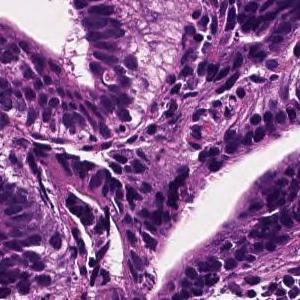
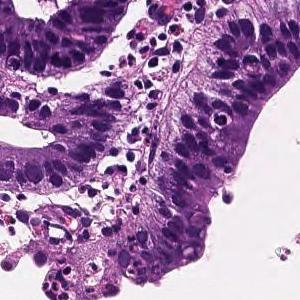
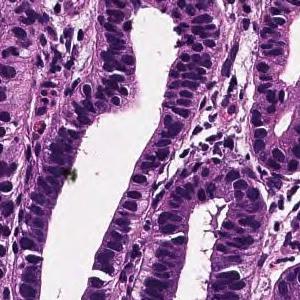
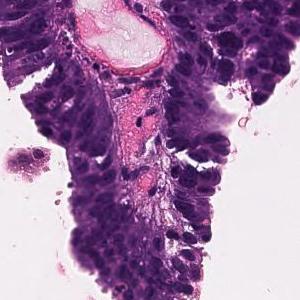
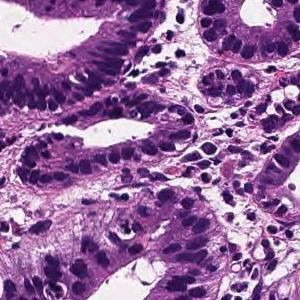
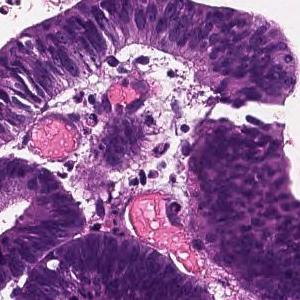
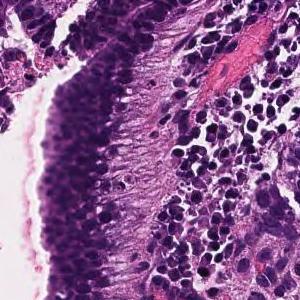
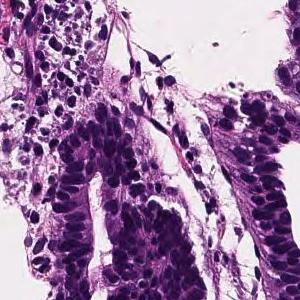
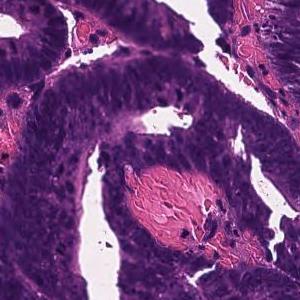
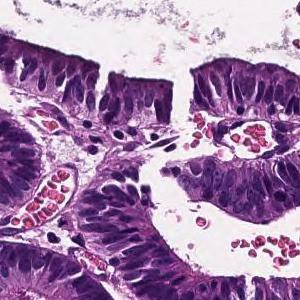
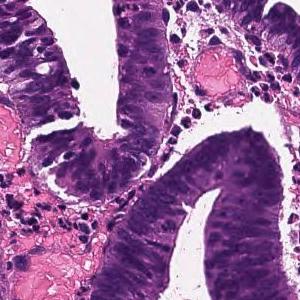
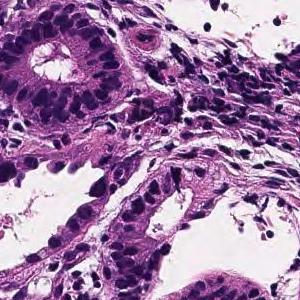
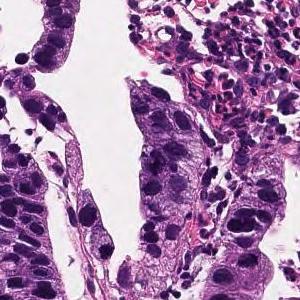
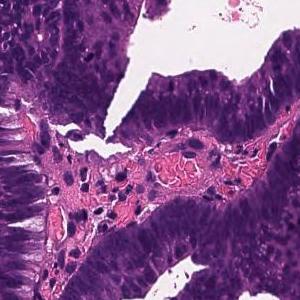
20× magnification · H&E stain · 14 image tiles from a single gastric biopsy slide · 300 × 300 pixels each.
Report on the slide these tiles come from. The findings and the diagnosis refer to the entire slide; these tiles show only part of it, possibly with non-tumor tissue, and may not show every feature named.
Tumor tissue consisting of large papillary structures is found in the superficial epithelium. Papillary adenocarcinoma.
